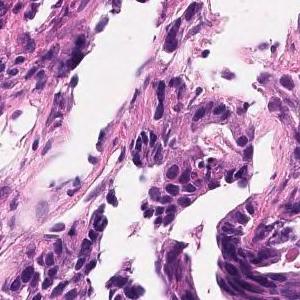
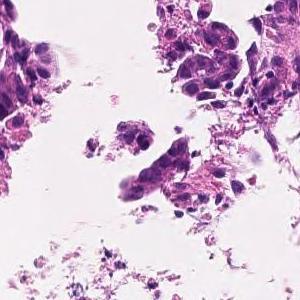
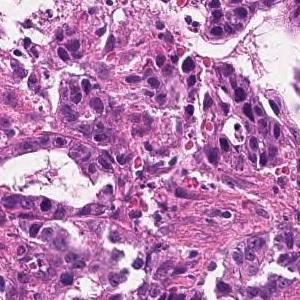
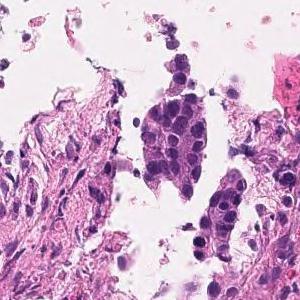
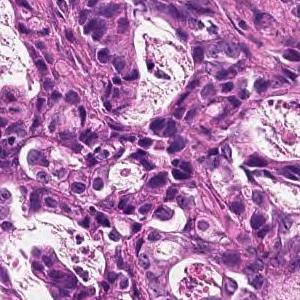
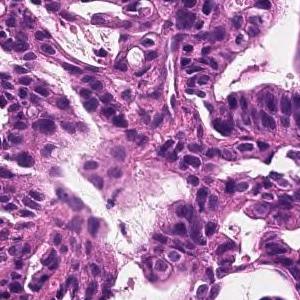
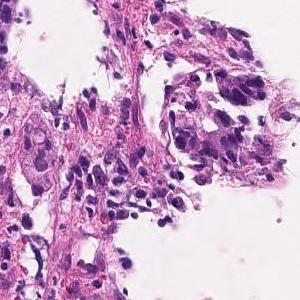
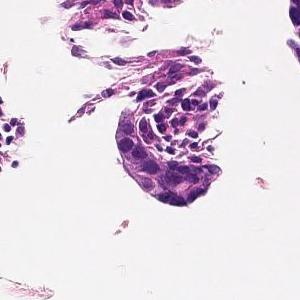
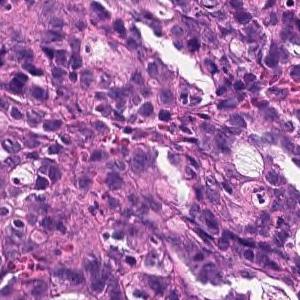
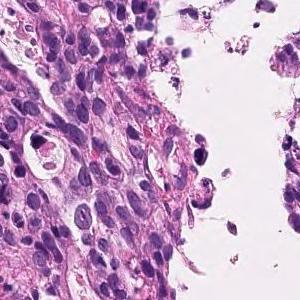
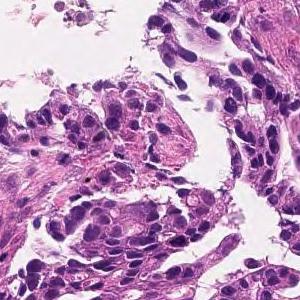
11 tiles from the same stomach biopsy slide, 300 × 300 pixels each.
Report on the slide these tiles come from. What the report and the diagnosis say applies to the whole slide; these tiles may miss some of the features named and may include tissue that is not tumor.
On the superficial epithelium, tumor tissue consisting of images of small to medium-sized and irregular tubules infiltrating with irregular fusion is observed. moderately differentiated tubular adenocarcinoma
